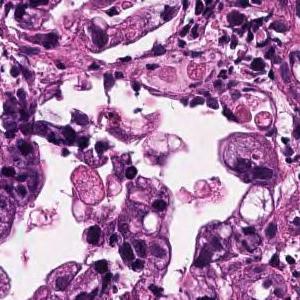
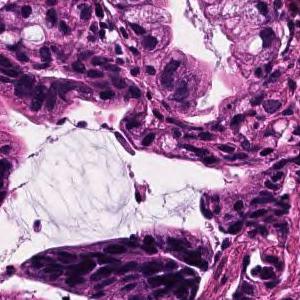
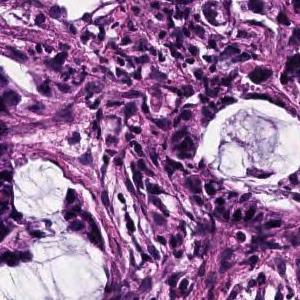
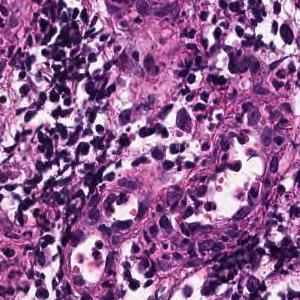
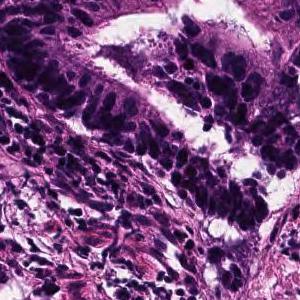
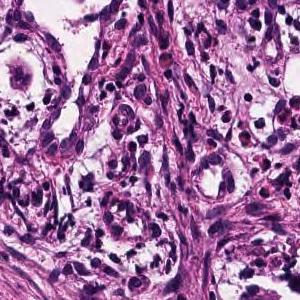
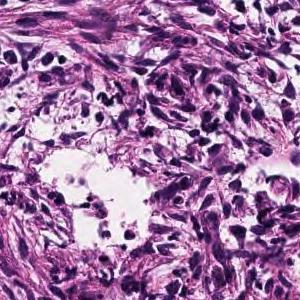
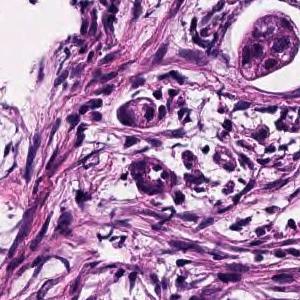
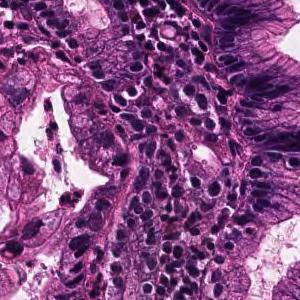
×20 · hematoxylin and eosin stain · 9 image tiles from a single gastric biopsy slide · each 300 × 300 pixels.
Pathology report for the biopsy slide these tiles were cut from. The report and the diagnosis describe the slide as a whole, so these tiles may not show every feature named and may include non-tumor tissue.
On the superficial epithelium, tumor tissue consisting of large, irregular glandular ducts partially fused and infiltrated is observed. Well to moderately differentiated tubular adenocarcinoma (well differentiated tubular adenocarcinoma, moderately differentiated tubular adenocarcinoma)
Tumor subtype: well to moderately differentiated tubular adenocarcinoma.
